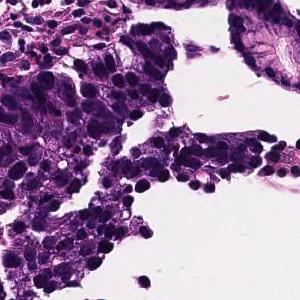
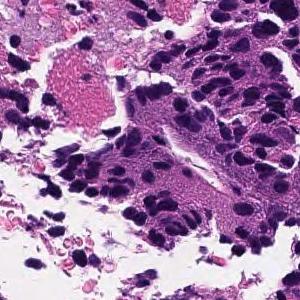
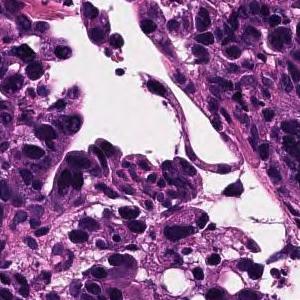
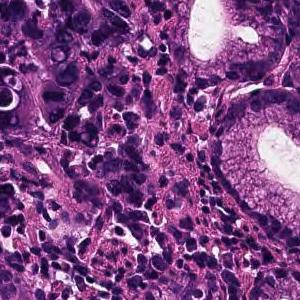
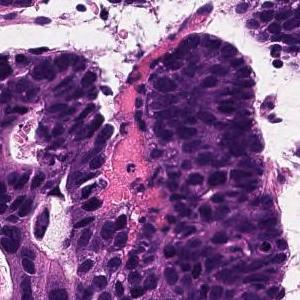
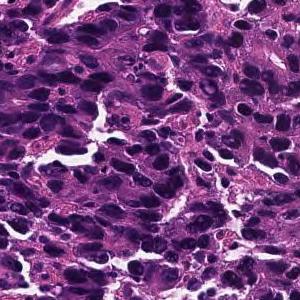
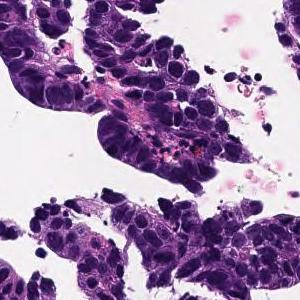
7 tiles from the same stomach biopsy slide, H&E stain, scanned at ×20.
The pathologist's report on the biopsy slide these tiles were taken from. Both the report and the diagnosis are for the whole slide: these tiles need not show every feature named, and some of the tissue shown may not be tumor.
In the superficial epithelium, tumor tissue that invades by forming medium-sized to small, irregular ducts is observed. moderately differentiated tubular adenocarcinoma.
